7 tiles from the same stomach biopsy slide; 300 × 300 pixels each; 20× magnification; H&E.
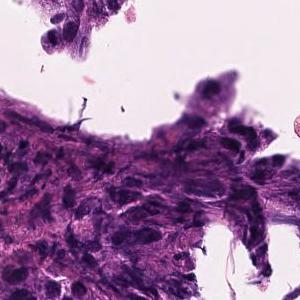
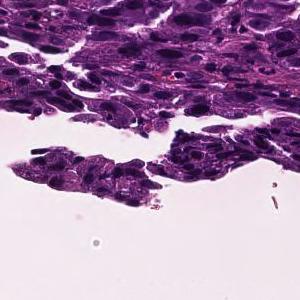
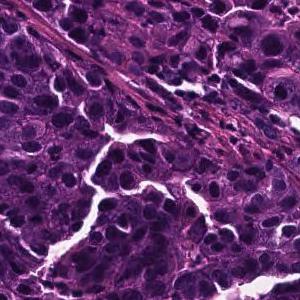
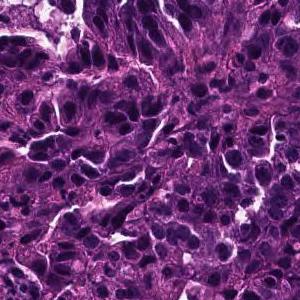
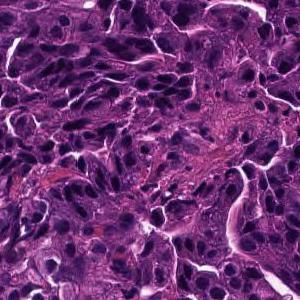
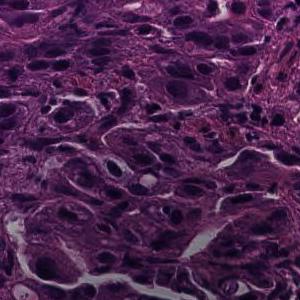
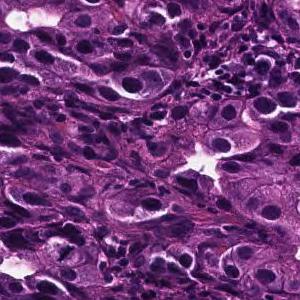
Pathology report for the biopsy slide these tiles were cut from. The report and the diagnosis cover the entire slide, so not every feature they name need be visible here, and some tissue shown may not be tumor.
Tumor tissue consisting of medium-sized, cord-like or irregular glandular fusion and infiltration is observed in the superficial epithelium. Poorly differentiated adenocarcinoma, non-solid type or moderately differentiated tubular adenocarcinoma
Subtype: Moderately to poorly differentiated adenocarcinoma.
The term "non-solid type" comes from the Japanese Classification of Gastric Carcinoma.
